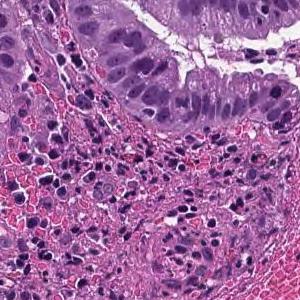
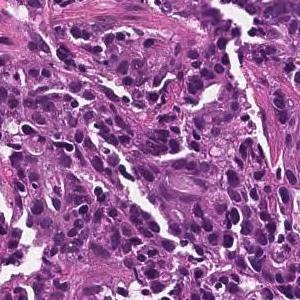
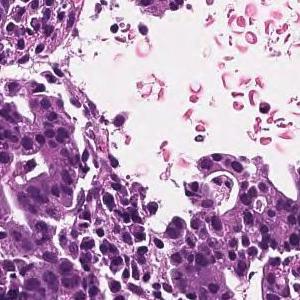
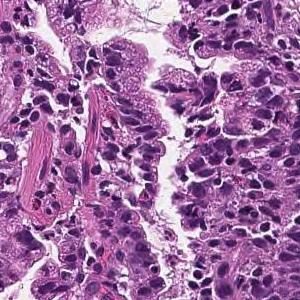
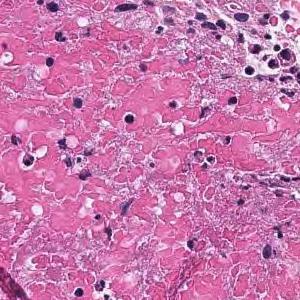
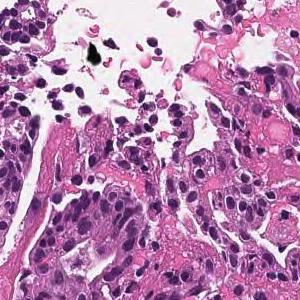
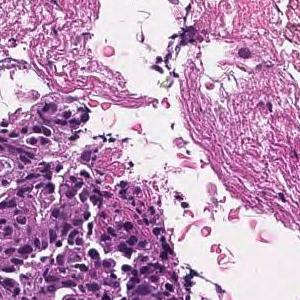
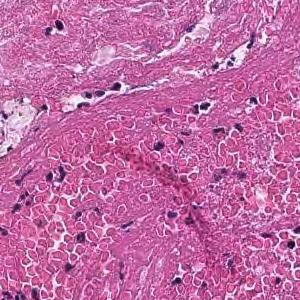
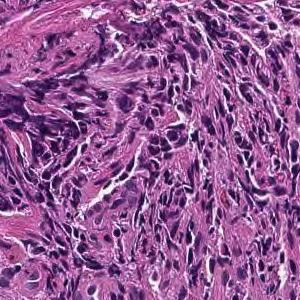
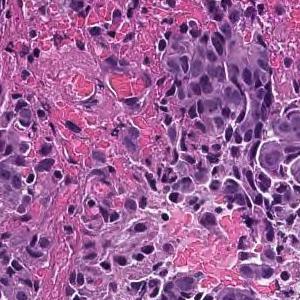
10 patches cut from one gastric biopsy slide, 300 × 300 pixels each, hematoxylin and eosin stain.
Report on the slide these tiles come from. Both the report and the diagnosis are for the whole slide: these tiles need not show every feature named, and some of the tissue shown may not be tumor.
On the superficial epithelium, tumor tissue that infiltrates by forming medium-sized papillary or small irregular ducts is observed. Papillary adenocarcinoma
